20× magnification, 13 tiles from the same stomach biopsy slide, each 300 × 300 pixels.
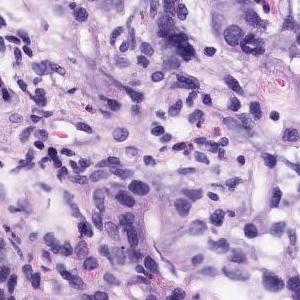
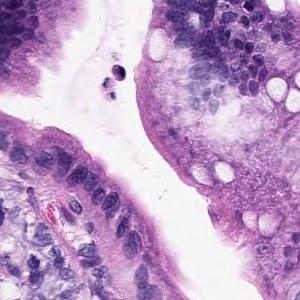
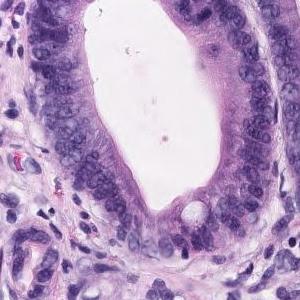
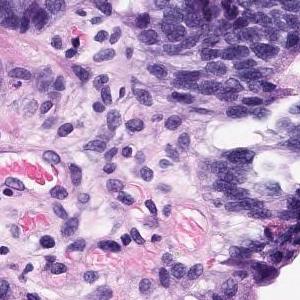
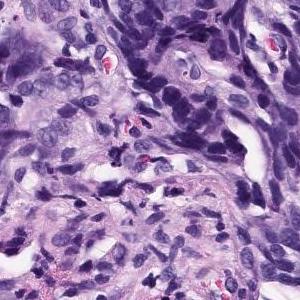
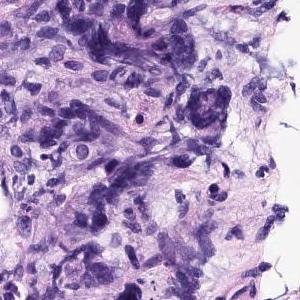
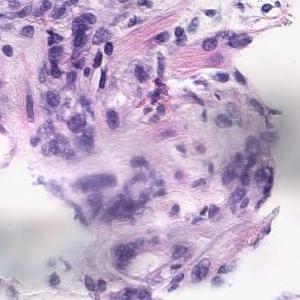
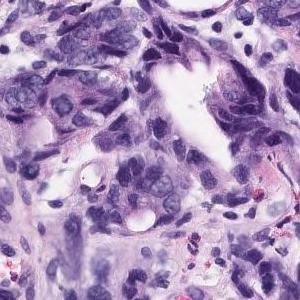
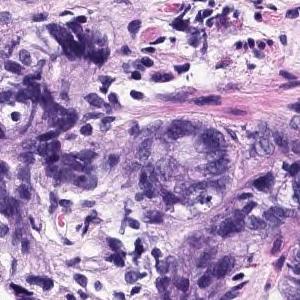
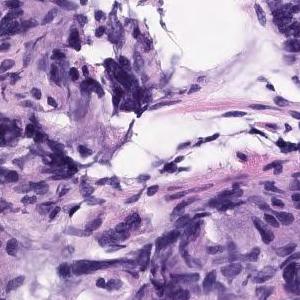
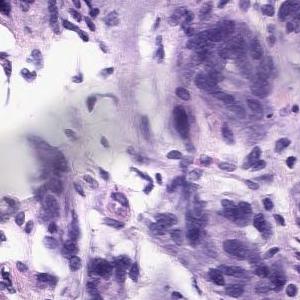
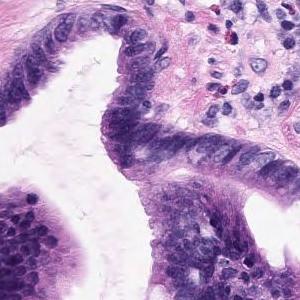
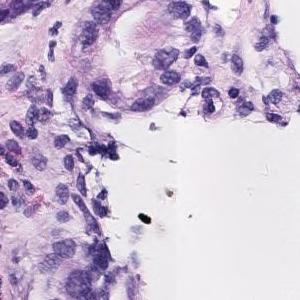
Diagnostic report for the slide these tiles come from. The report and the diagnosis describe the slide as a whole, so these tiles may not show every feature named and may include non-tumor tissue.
In the superficial epithelium, tumor tissue that invades by forming medium-sized to small, irregular ducts is observed. Moderately differentiated adenocarcinoma
Tumor subtype: moderately differentiated tubular adenocarcinoma.
